20× magnification, H&E, 5 patches cut from one gastric biopsy slide, 300×300 px each.
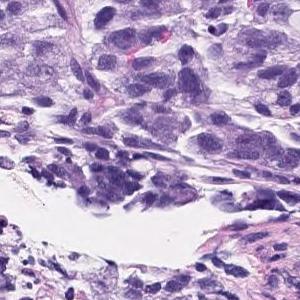
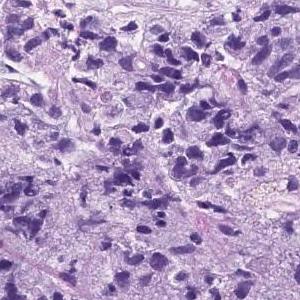
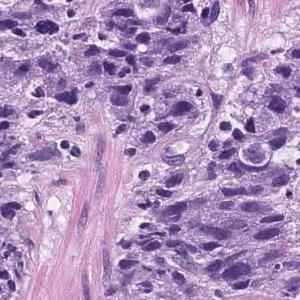
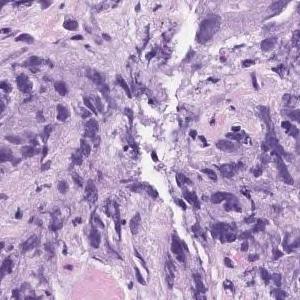
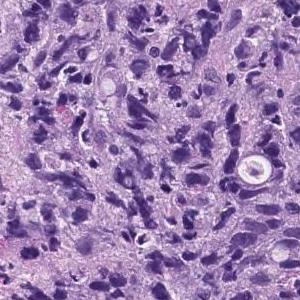
Diagnostic report for the slide these tiles come from. Both the report and the diagnosis are for the whole slide: these tiles need not show every feature named, and some of the tissue shown may not be tumor.
Atypical l cells with atypical nuclei forming solid vesicles or small irregular atypical ducts that proliferate in a complex manner. poorly differentiated adenocarcinoma, solid type, moderately differentiated tubular adenocarcinoma
The solid type named here is a Japanese Classification of Gastric Carcinoma category; WHO 2019 calls it tubular adenocarcinoma, poorly differentiated.
